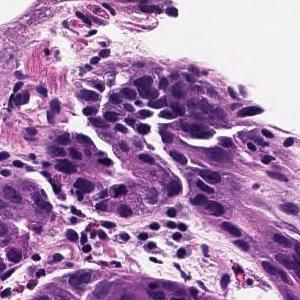
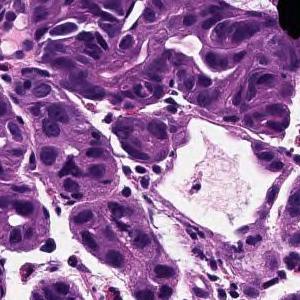
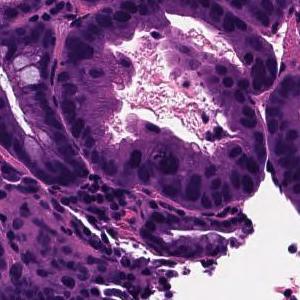
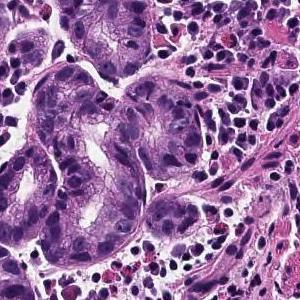
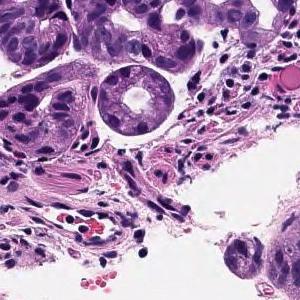
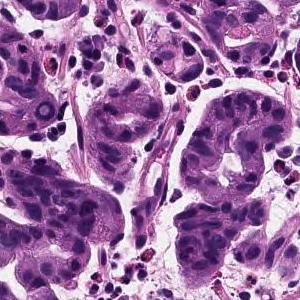
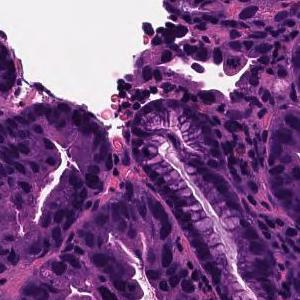
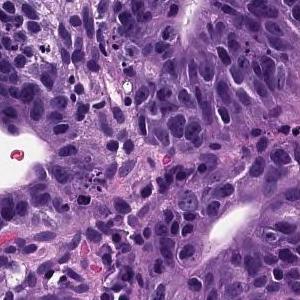
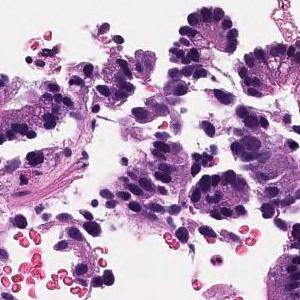
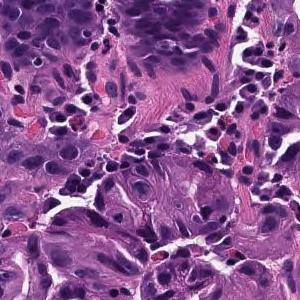
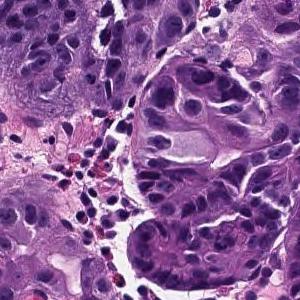
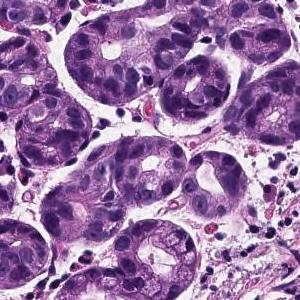
12 image tiles from a single gastric biopsy slide · hematoxylin and eosin stain.
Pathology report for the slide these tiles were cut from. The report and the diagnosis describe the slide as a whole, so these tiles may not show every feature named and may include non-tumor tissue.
On the superficial epithelium, tumor tissue consisting of large irregular glandular ducts partially fused and infiltrated is observed. Well to moderately differentiated tubular adenocarcinoma (well differentiated tubular adenocarcinoma, moderately differentiated tubular adenocarcinoma)
Tumor subtype: well to moderately differentiated tubular adenocarcinoma.
